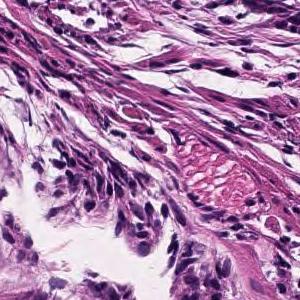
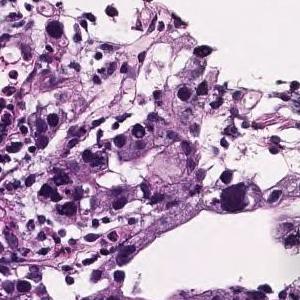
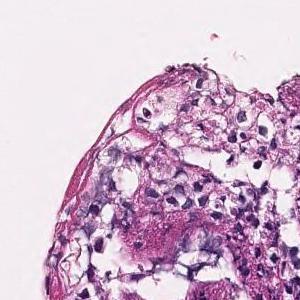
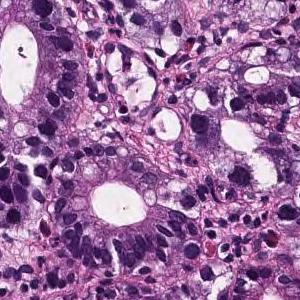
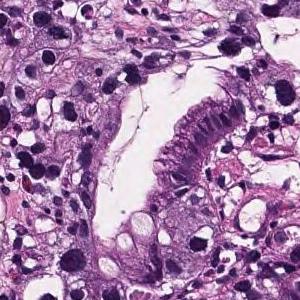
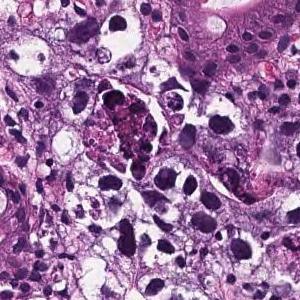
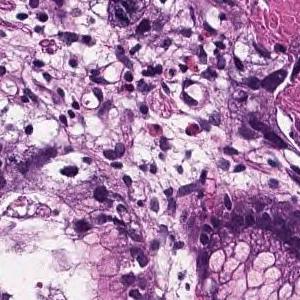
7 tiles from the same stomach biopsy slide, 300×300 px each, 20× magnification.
Pathology report for the biopsy slide these tiles were cut from. The findings and the diagnosis refer to the entire slide; these tiles show only part of it, possibly with non-tumor tissue, and may not show every feature named.
In the superficial epithelium, medium to small irregular gland ducts are formed, and in some cases, the ducts are fused to show solid alveolar lesions and infiltrating tumor tissue is observed. Moderately to poorly differentiated adenocarcinoma
